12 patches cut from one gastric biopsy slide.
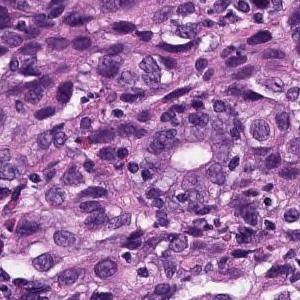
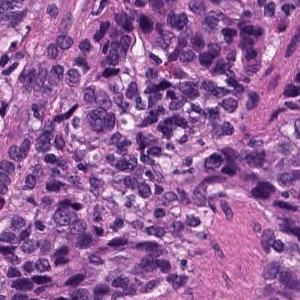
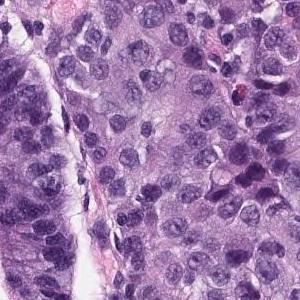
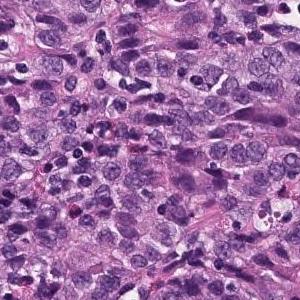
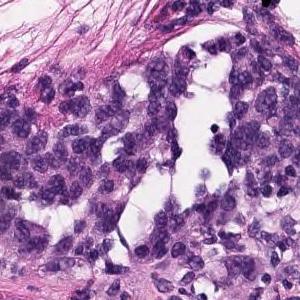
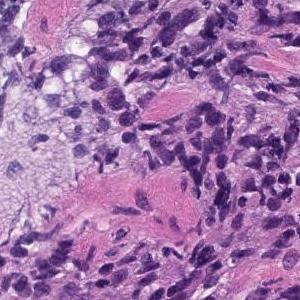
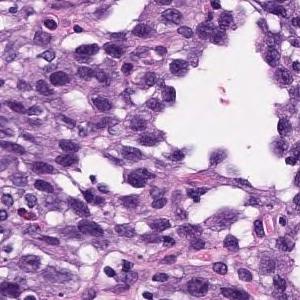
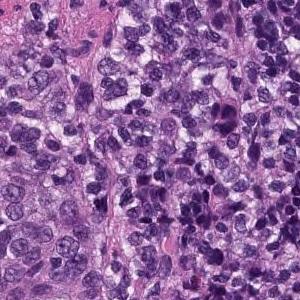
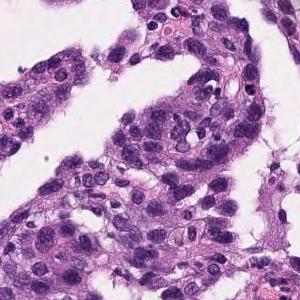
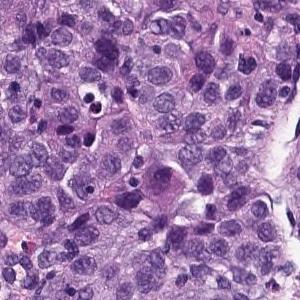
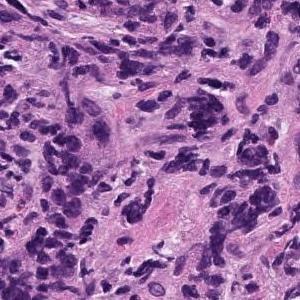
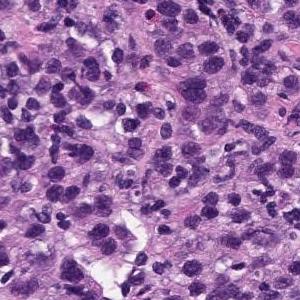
Pathology report for the biopsy slide these tiles were cut from. What the report and the diagnosis say applies to the whole slide; these tiles may miss some of the features named and may include tissue that is not tumor.
In the superficial epithelium, tumor tissue that invades by forming medium-sized to small, irregular ducts is observed. Moderately differentiated adenocarcinoma.
Histologic type: Moderately differentiated tubular adenocarcinoma.
